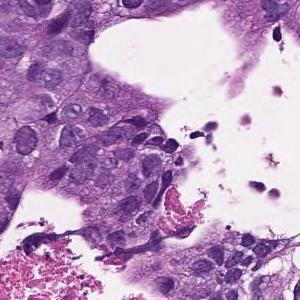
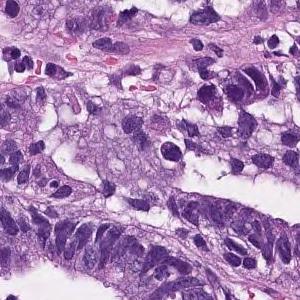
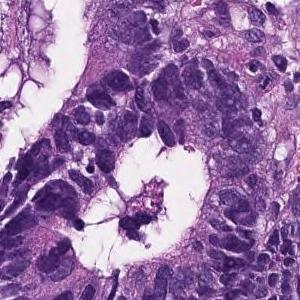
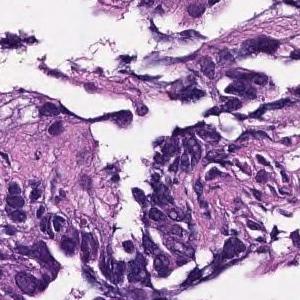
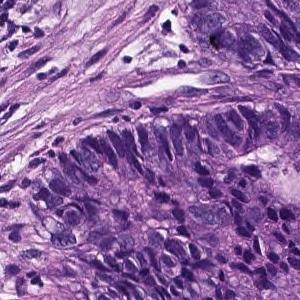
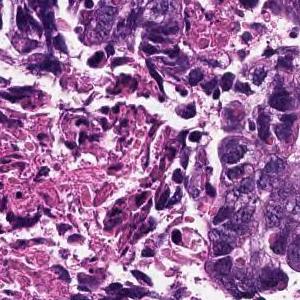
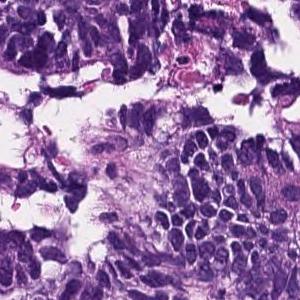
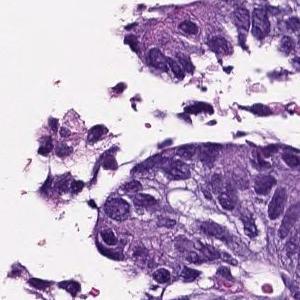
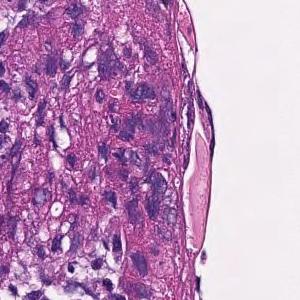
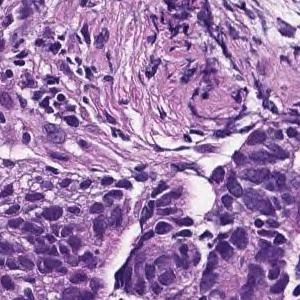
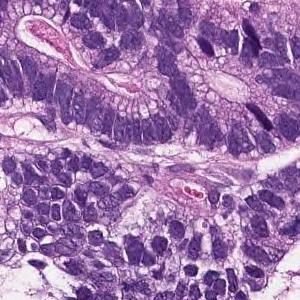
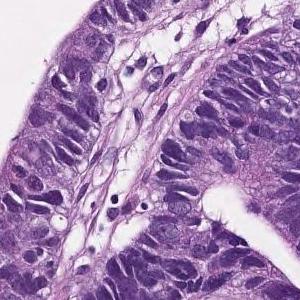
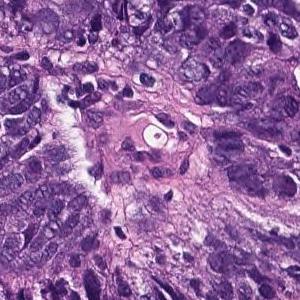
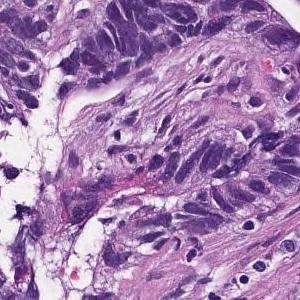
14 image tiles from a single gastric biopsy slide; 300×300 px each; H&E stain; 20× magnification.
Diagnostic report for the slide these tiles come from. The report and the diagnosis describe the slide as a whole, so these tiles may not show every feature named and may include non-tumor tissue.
In the superficial epithelium, tumor tissue that invades by forming medium-sized to small, irregular ducts is observed. moderately differentiated tubular adenocarcinoma.
